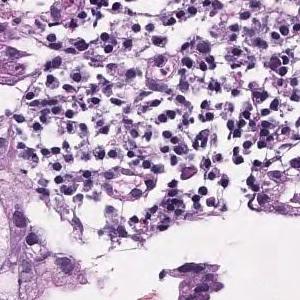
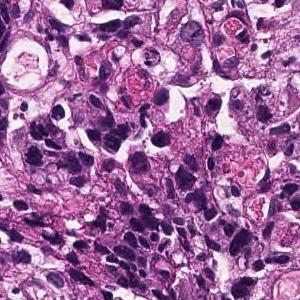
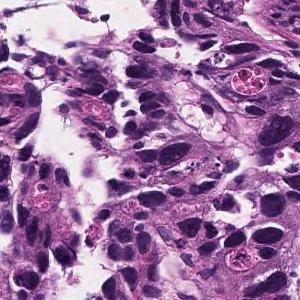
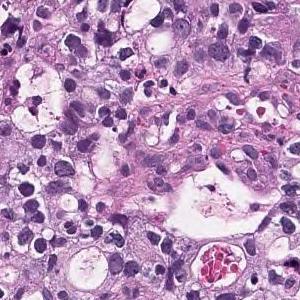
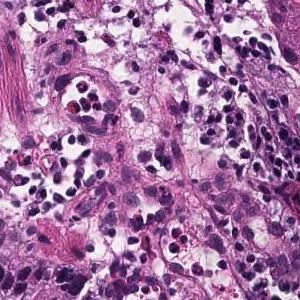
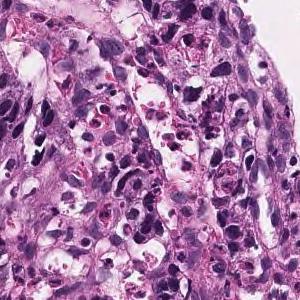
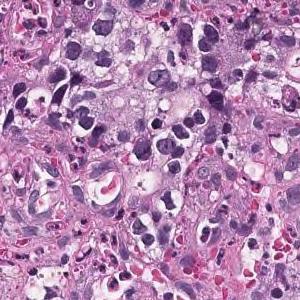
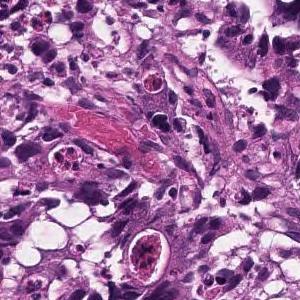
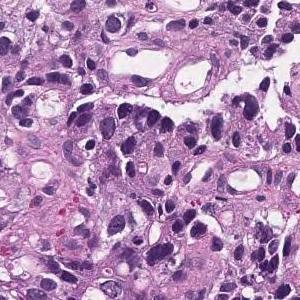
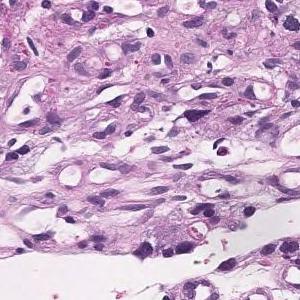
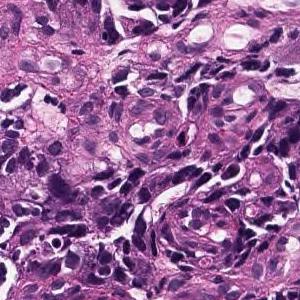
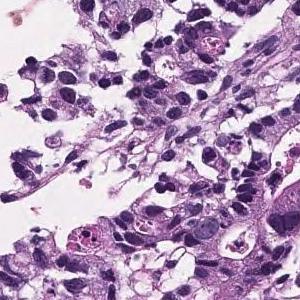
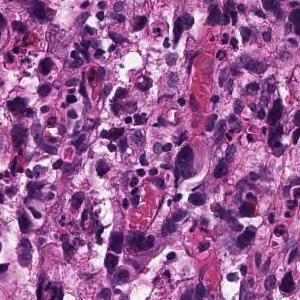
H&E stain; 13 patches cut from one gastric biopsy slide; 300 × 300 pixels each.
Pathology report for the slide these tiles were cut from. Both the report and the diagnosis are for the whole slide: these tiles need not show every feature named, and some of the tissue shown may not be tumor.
Tumor tissue consisting of medium-sized, cord-like or irregular glandular infiltration is observed in the superficial epithelium. Poorly differentiated adenocarcinoma, non-solid type or moderately differentiated tubular adenocarcinoma
"Non-solid type" is a category of the Japanese Classification of Gastric Carcinoma.
